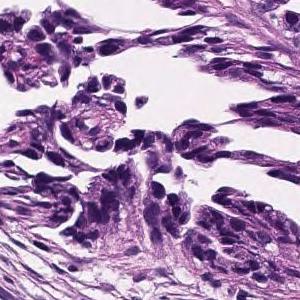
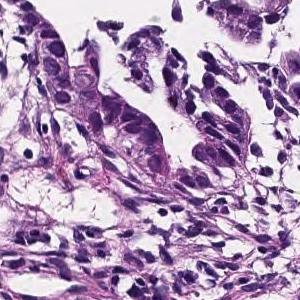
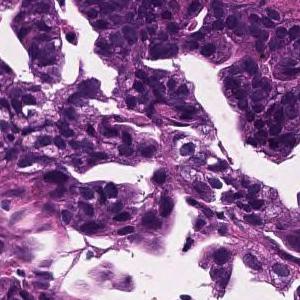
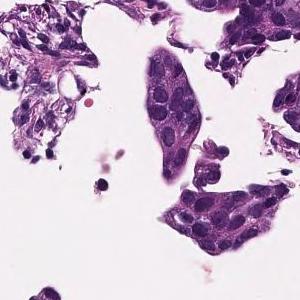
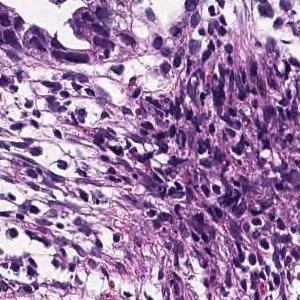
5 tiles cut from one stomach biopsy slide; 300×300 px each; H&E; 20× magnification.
Diagnostic report for the slide these tiles come from. What the report and the diagnosis say applies to the whole slide; these tiles may miss some of the features named and may include tissue that is not tumor.
In the lamina propria, tumor tissue that invades by forming medium-sized to small, irregular glandular ducts is observed. moderately differentiated tubular adenocarcinoma
